H&E stain; 7 patches cut from one gastric biopsy slide; 300 × 300 pixels each.
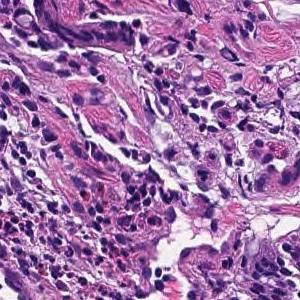
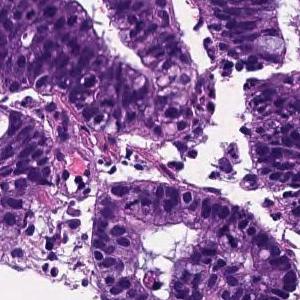
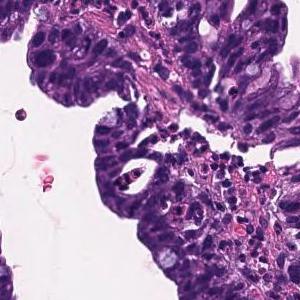
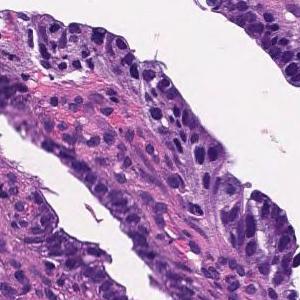
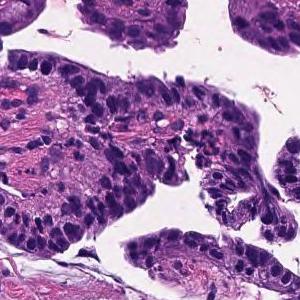
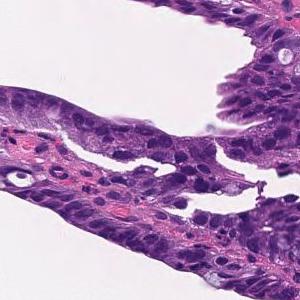
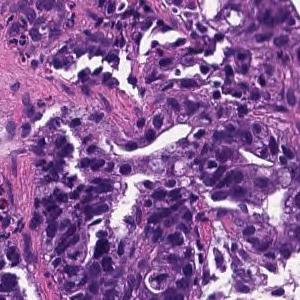
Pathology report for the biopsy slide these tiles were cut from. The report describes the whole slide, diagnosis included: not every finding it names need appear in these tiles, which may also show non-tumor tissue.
Tumor cells are large, highly columnar, large club-shaped nuclei, and are associated with chromatin aggregation. Papillary adenocarcinoma.
